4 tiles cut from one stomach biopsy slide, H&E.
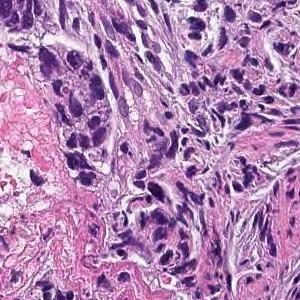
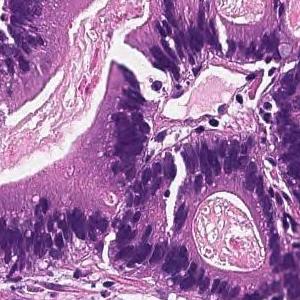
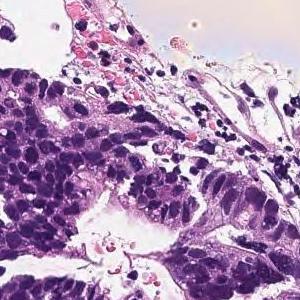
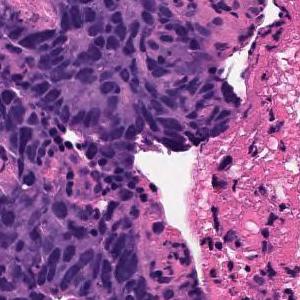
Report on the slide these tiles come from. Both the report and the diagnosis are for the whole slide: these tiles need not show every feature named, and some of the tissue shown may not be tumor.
In the superficial epithelium, tumor tissue that invades by forming medium-sized to small, irregular ducts is observed. moderately differentiated tubular adenocarcinoma.
